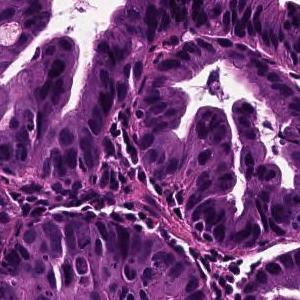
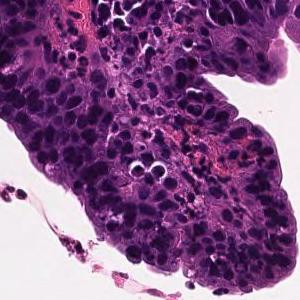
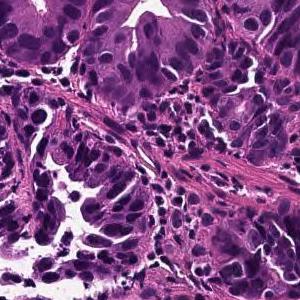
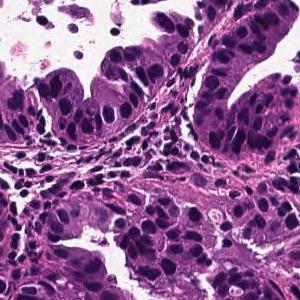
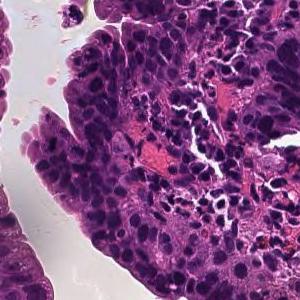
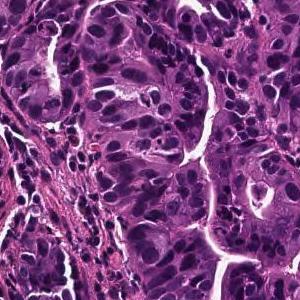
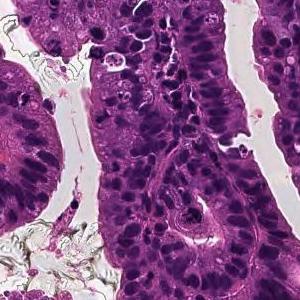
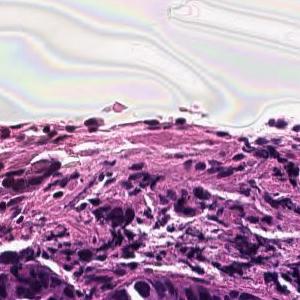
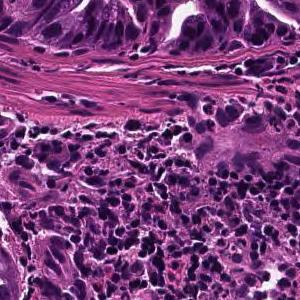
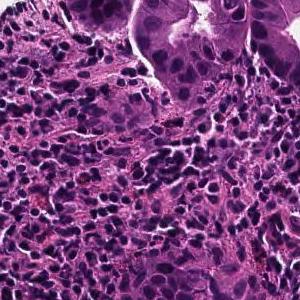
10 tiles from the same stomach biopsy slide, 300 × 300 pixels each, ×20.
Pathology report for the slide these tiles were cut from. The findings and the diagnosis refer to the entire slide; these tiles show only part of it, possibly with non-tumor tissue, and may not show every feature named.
Tumor cells are large, highly columnar, large club-shaped nuclei, and are associated with chromatin aggregation. Papillary adenocarcinoma.
